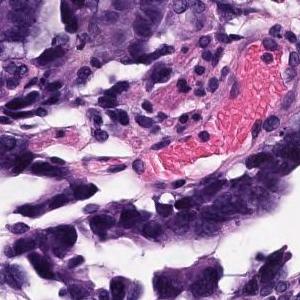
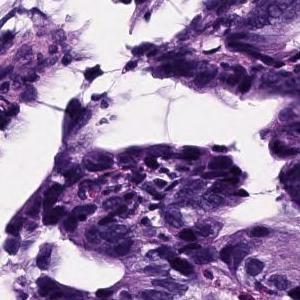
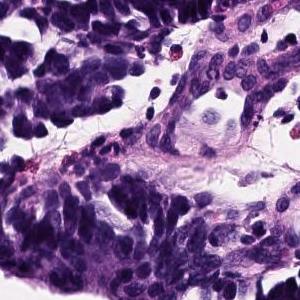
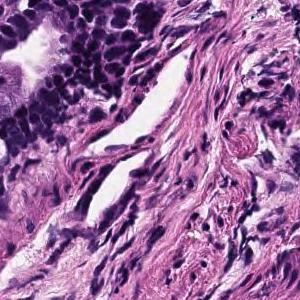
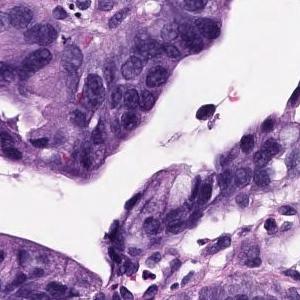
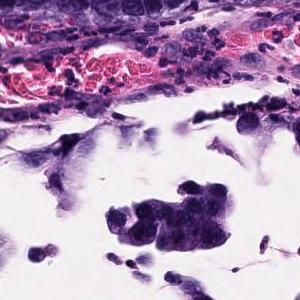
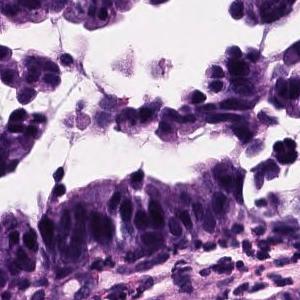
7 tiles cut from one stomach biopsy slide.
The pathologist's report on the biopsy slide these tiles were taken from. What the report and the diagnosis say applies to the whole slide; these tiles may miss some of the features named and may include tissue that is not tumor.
Atypical epithelium proliferating showing villus construction and irregular gland duct construction is observed. Moderately differentiated tubular adenocarcinoma.
